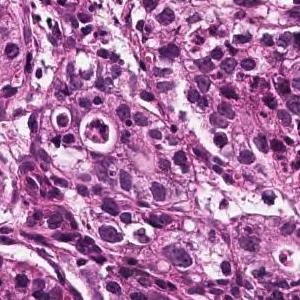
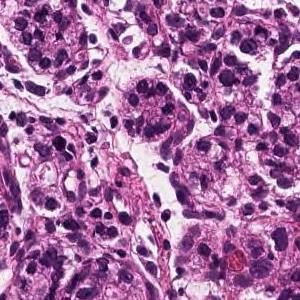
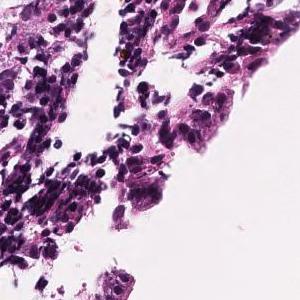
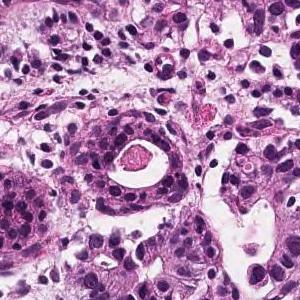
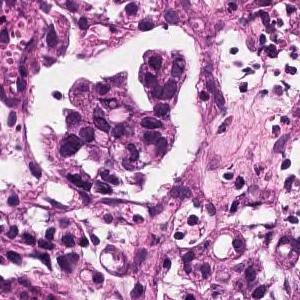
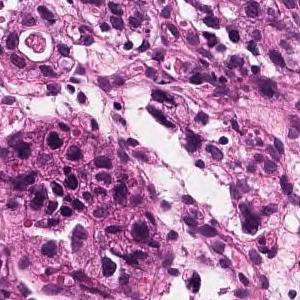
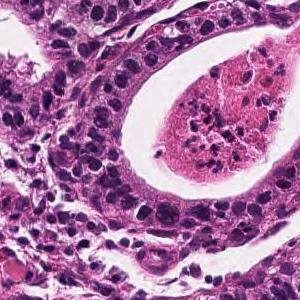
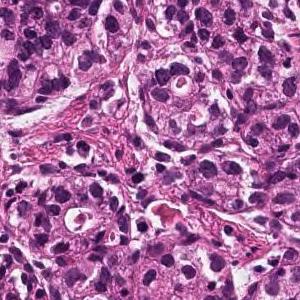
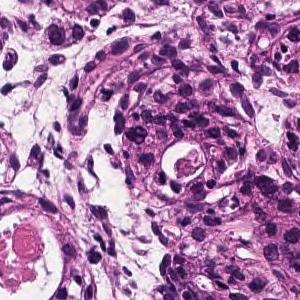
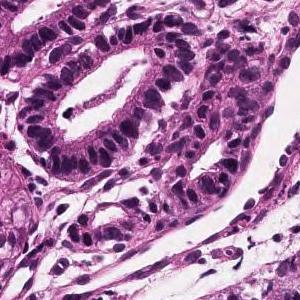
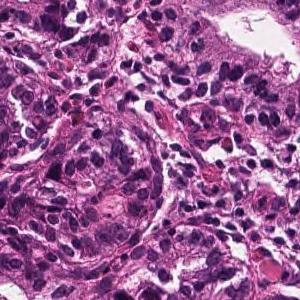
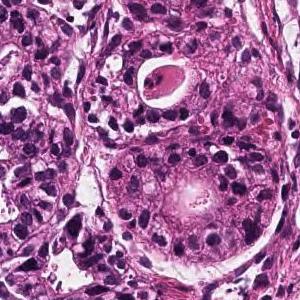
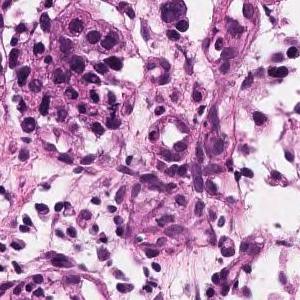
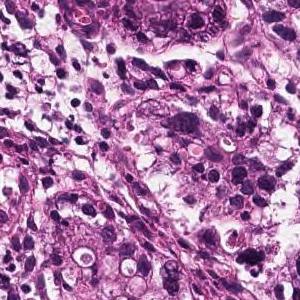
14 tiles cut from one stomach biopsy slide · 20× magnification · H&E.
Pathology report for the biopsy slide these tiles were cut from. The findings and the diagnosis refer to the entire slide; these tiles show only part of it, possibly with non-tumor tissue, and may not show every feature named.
Tumor tissue consisting of medium-sized and irregular ducts is observed infiltrating in the superficial epithelium. Tumor cells are highly columnar, with nuclei aligned basolaterally and polarized. Well differentiated tubular adenocarcinoma.
